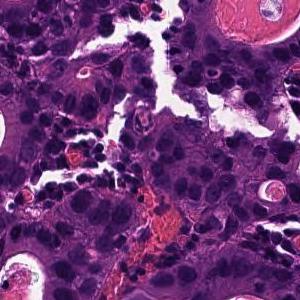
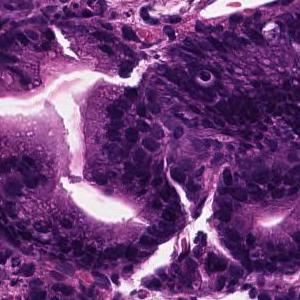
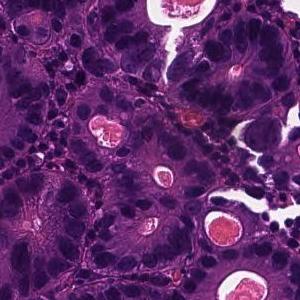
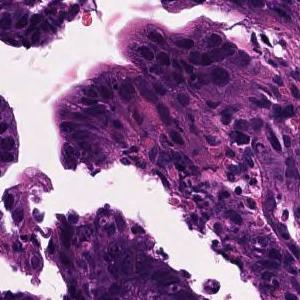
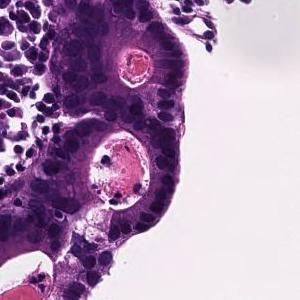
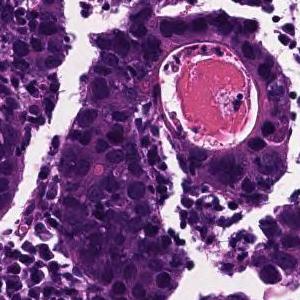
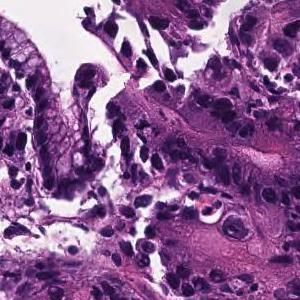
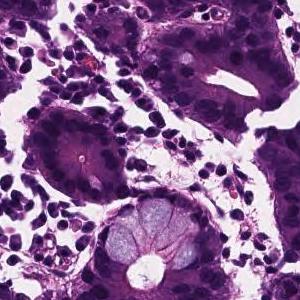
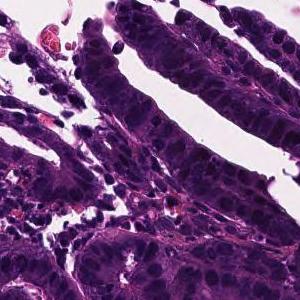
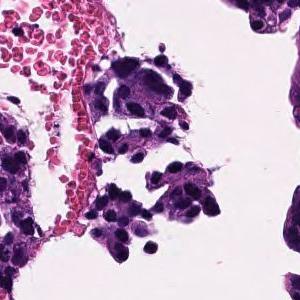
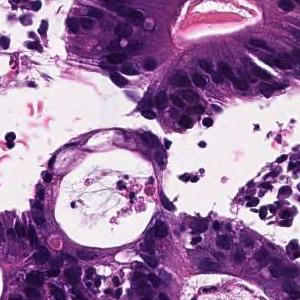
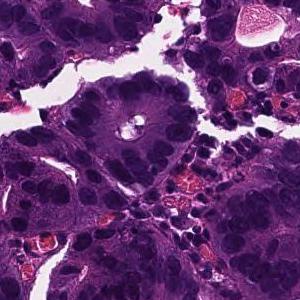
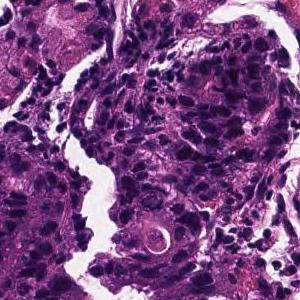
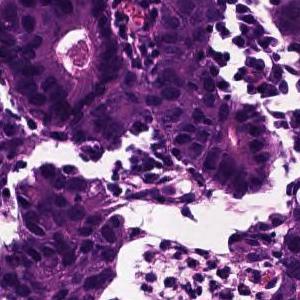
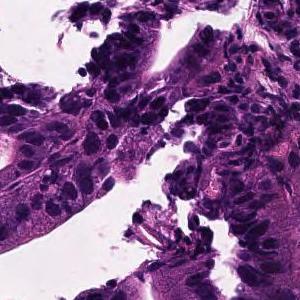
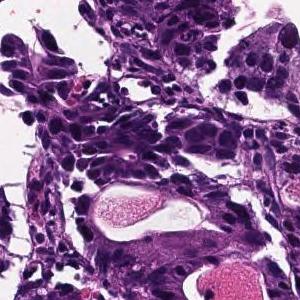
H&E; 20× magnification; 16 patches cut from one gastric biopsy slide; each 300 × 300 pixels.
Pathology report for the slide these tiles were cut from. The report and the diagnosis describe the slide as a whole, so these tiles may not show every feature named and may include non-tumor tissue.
From the superficial epithelium to the muscularis mucosae, tumor tissue infiltrating by forming medium-sized irregular gland ducts is observed. Large tumor cells exhibit large nucleus and hyperchromatism. Well differentiated tubular adenocarcinoma
